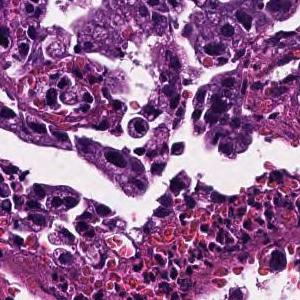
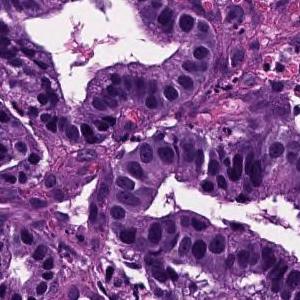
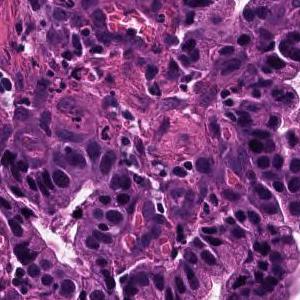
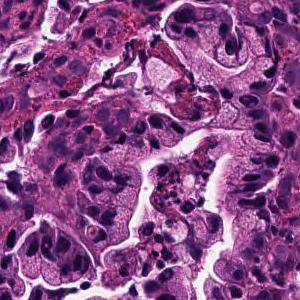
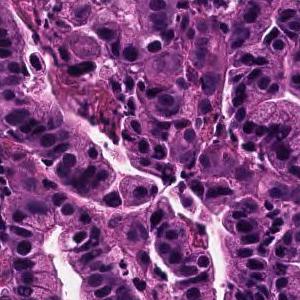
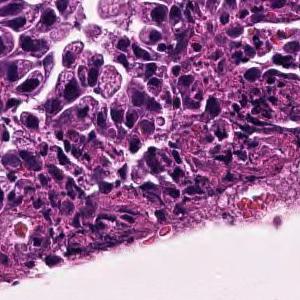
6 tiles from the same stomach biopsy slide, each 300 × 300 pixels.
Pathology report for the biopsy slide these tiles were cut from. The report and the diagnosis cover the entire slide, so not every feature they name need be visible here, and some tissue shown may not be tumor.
Tumor cells are large, highly columnar, large club-shaped nuclei, and are associated with chromatin aggregation. Papillary adenocarcinoma.
